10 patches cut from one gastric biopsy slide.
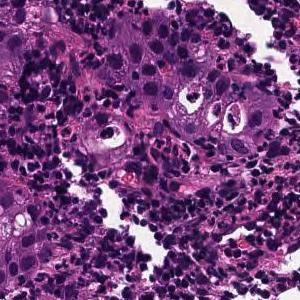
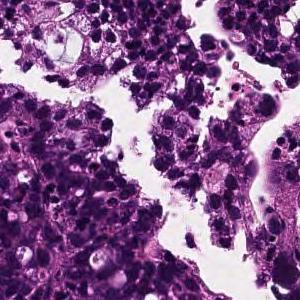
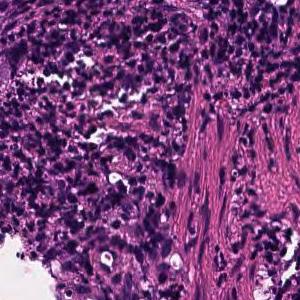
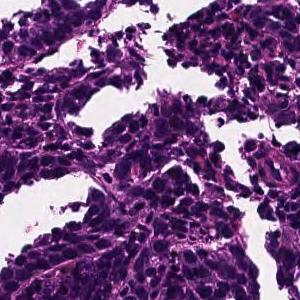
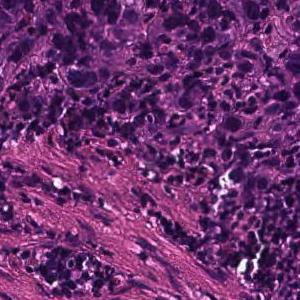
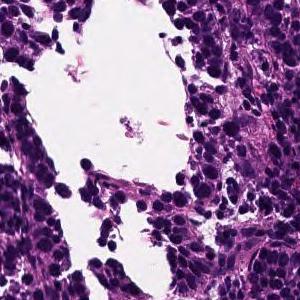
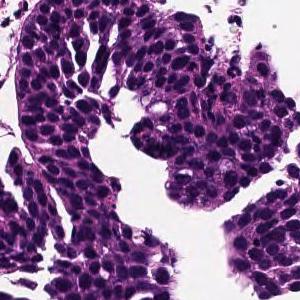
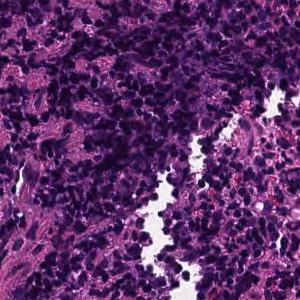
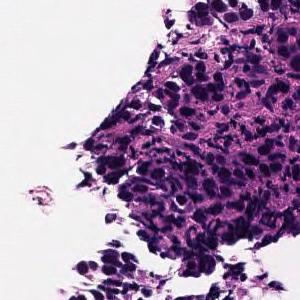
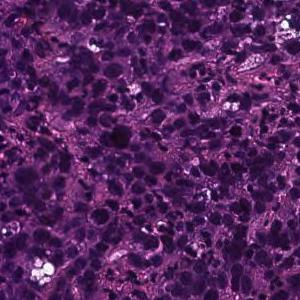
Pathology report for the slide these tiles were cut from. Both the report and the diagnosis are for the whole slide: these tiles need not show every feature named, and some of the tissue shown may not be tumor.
Tumor tissue consisting of cord-like or small, irregular glandular ducts fused and infiltrated is observed in the superficial epithelium. Poorly differentiated adenocarcinoma, non-solid type
"Non-solid type" is a category of the Japanese Classification of Gastric Carcinoma.
